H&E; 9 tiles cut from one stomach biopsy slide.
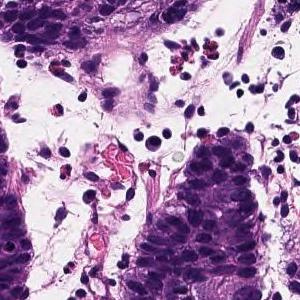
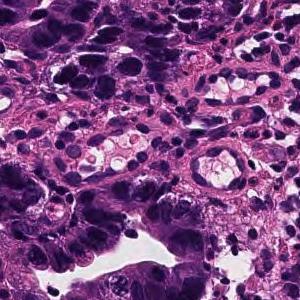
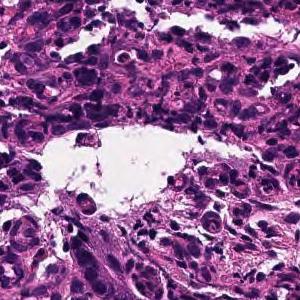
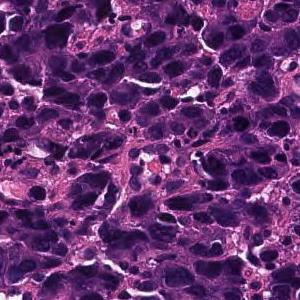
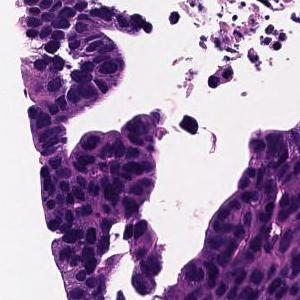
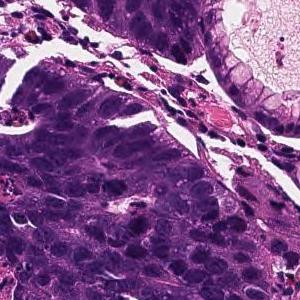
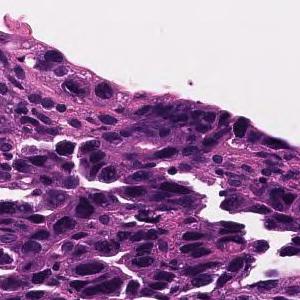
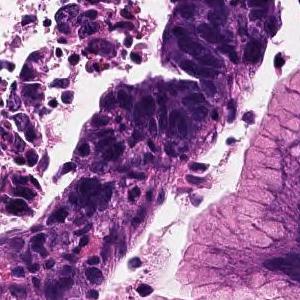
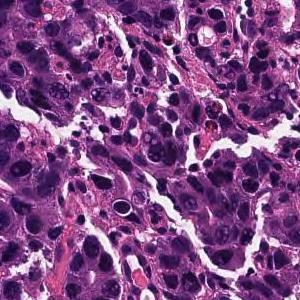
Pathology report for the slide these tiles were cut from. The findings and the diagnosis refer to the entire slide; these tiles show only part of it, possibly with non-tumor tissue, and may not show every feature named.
In the superficial epithelium, tumor tissue that invades by forming medium-sized to small, irregular ducts is observed. moderately differentiated tubular adenocarcinoma.
